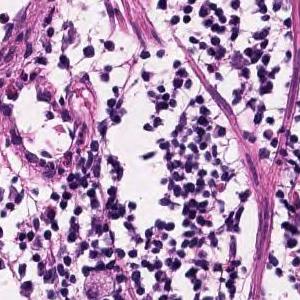
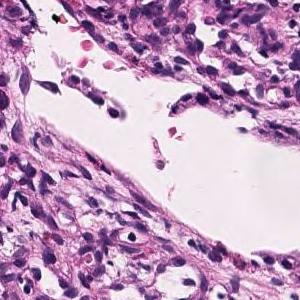
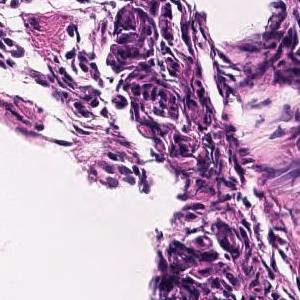
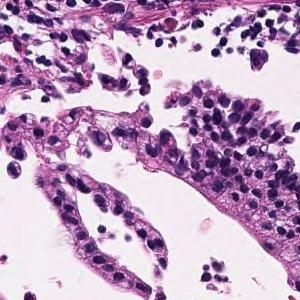
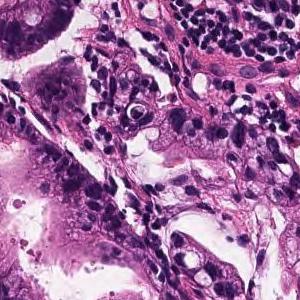
×20, hematoxylin and eosin stain, 5 tiles from the same stomach biopsy slide, 300 × 300 pixels each.
Diagnostic report for the slide these tiles come from. Both the report and the diagnosis are for the whole slide: these tiles need not show every feature named, and some of the tissue shown may not be tumor.
Tumor tissue consisting of large papillary structures or irregular glandular ducts partially fused and infiltrated is observed in the superficial epithelium. Well to moderately differentiated tubular adenocarcinoma.
Labeled in the dataset as moderately differentiated tubular adenocarcinoma.
